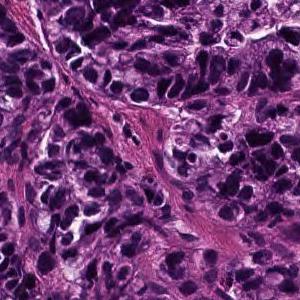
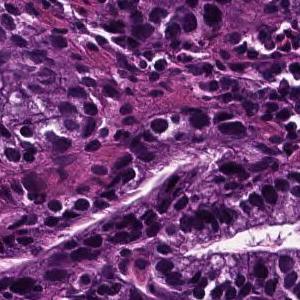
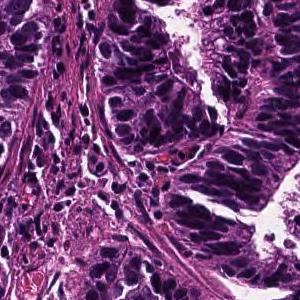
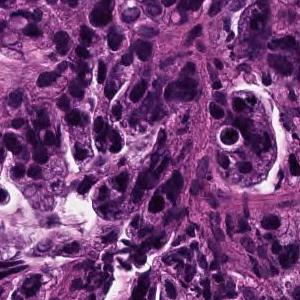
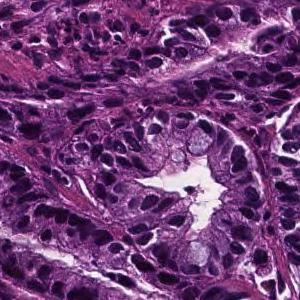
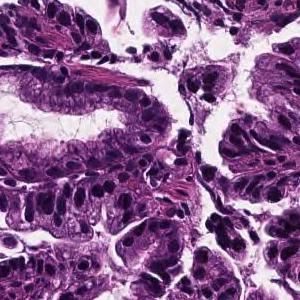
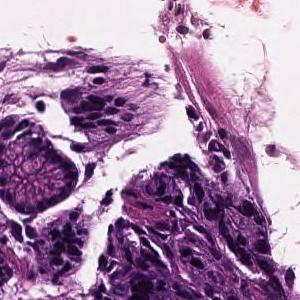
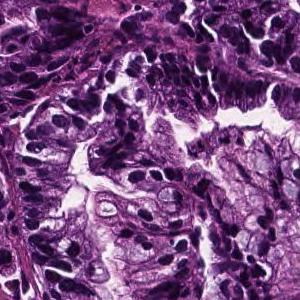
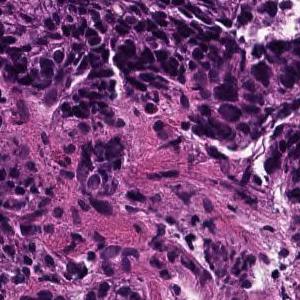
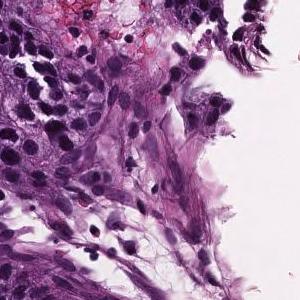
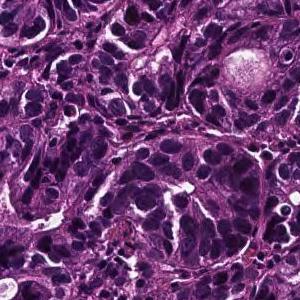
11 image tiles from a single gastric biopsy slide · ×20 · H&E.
Pathology report for the biopsy slide these tiles were cut from. The report and the diagnosis cover the entire slide, so not every feature they name need be visible here, and some tissue shown may not be tumor.
In the superficial epithelium, tumor tissue that invades by forming medium-sized to small, irregular ducts is observed. Well differentiated tubular adenocarcinoma.
